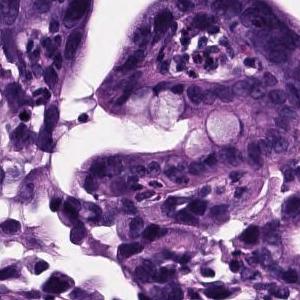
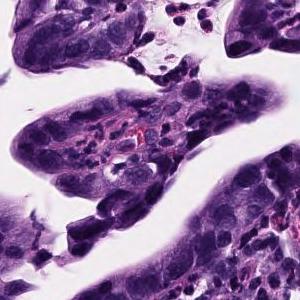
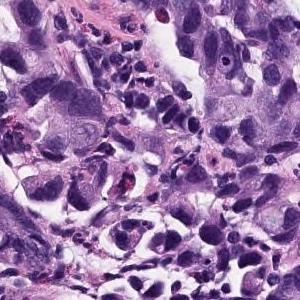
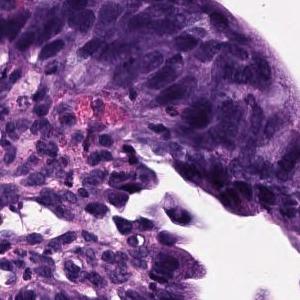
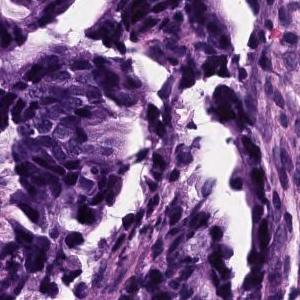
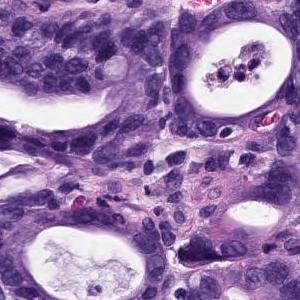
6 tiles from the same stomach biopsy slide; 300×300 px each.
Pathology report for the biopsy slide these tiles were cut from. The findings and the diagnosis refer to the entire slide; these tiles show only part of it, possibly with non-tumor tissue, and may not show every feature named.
Atypical epithelium proliferating showing villus construction and irregular gland duct construction is observed. Moderately differentiated tubular adenocarcinoma.
